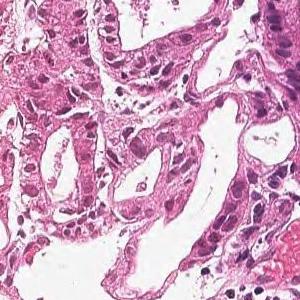
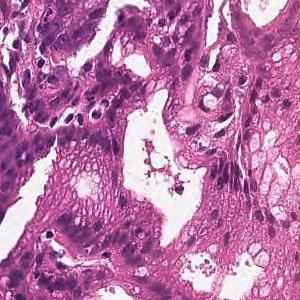
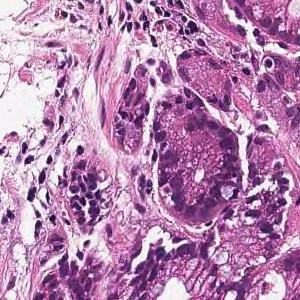
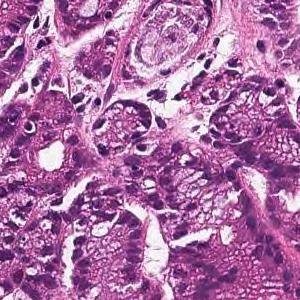
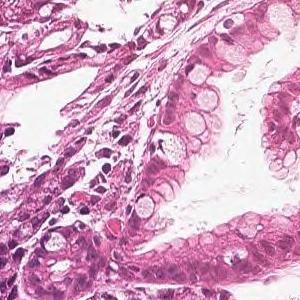
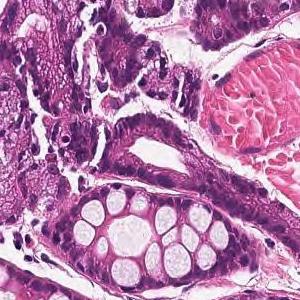
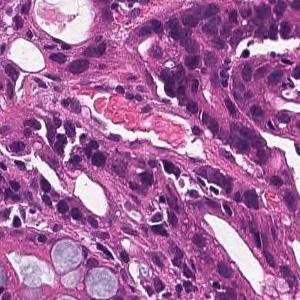
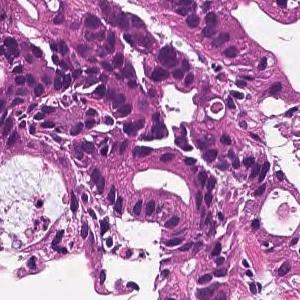
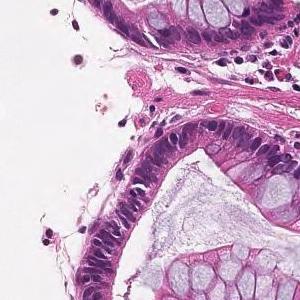
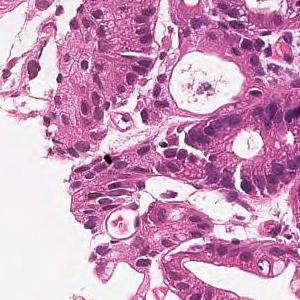
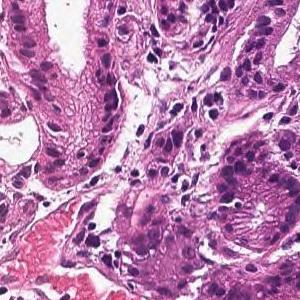
11 tiles cut from one stomach biopsy slide, each 300 × 300 pixels.
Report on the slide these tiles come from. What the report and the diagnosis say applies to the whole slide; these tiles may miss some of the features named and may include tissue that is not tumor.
In the superficial epithelium, tumor tissue that invades by forming medium-sized to small, irregular ducts is observed. moderately differentiated tubular adenocarcinoma.
